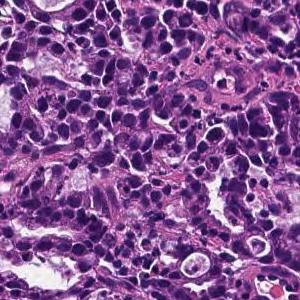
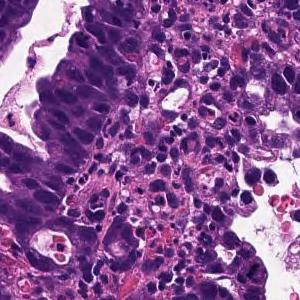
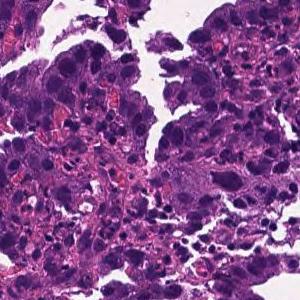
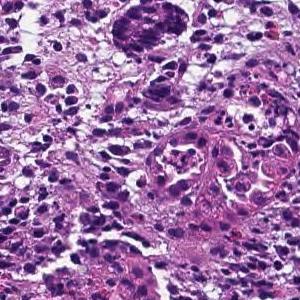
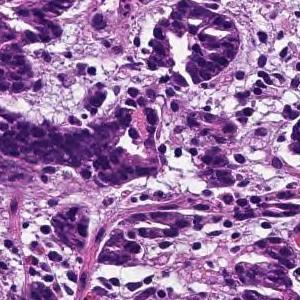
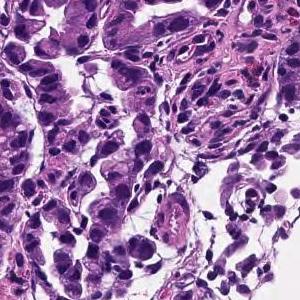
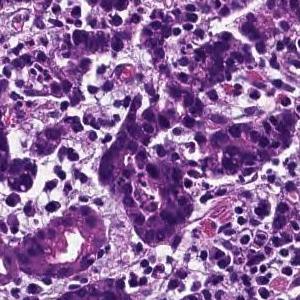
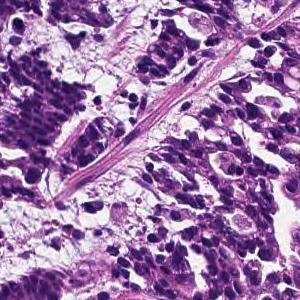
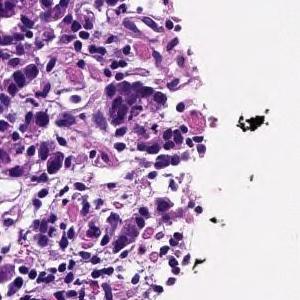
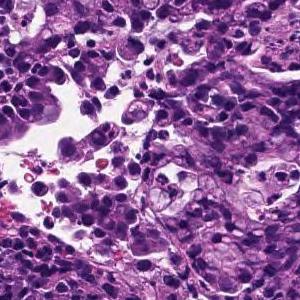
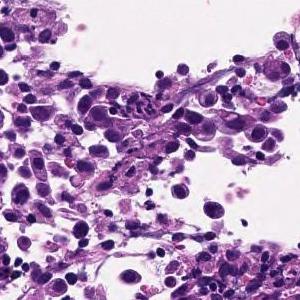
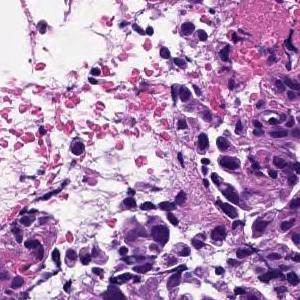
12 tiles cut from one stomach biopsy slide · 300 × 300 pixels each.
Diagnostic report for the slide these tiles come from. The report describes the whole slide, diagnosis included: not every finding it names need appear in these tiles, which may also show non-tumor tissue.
In the superficial epithelium, tumor tissue that invades by forming medium-sized to small, irregular ducts is observed. moderately differentiated tubular adenocarcinoma.
